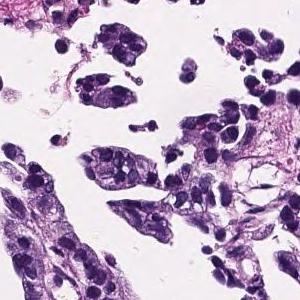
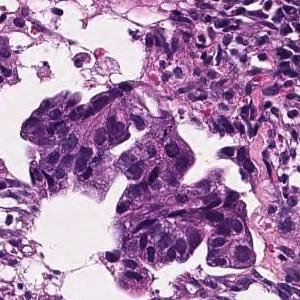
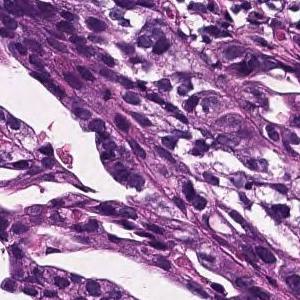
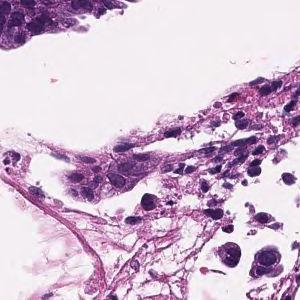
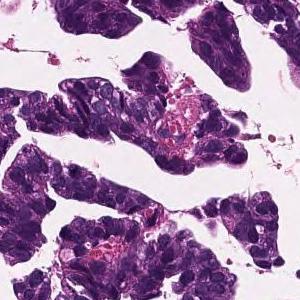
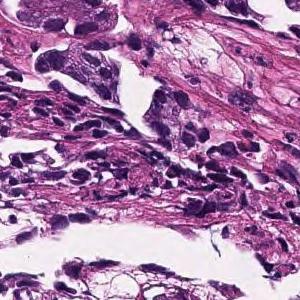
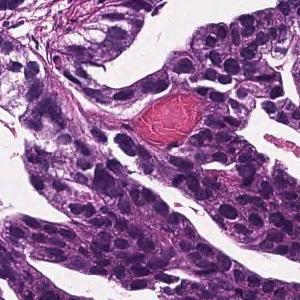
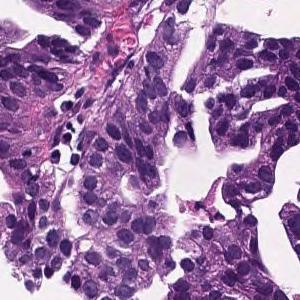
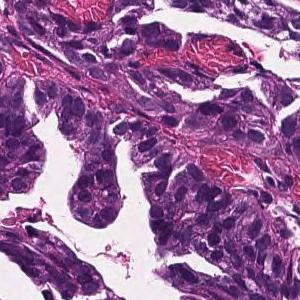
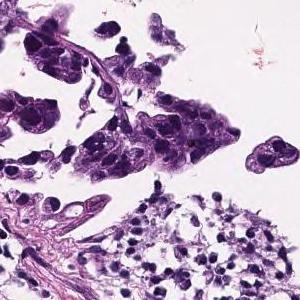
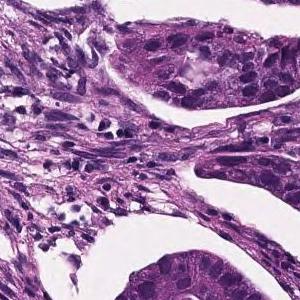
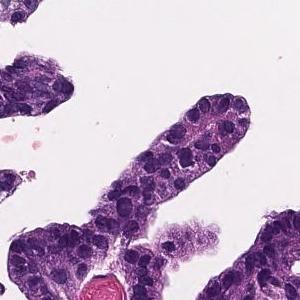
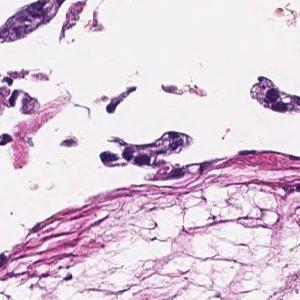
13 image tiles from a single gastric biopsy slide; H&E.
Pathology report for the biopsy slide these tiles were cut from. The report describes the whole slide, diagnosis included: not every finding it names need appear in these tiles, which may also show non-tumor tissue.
In the lamina propria, tumor tissue that invades by forming medium-sized to small, irregular glandular ducts is observed. moderately differentiated tubular adenocarcinoma
